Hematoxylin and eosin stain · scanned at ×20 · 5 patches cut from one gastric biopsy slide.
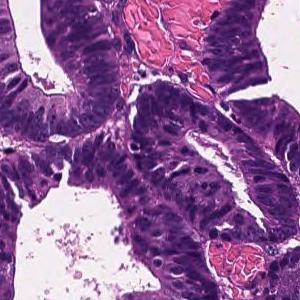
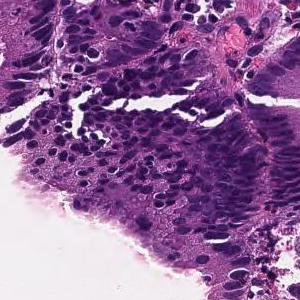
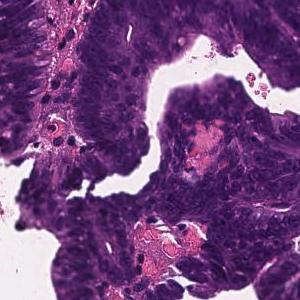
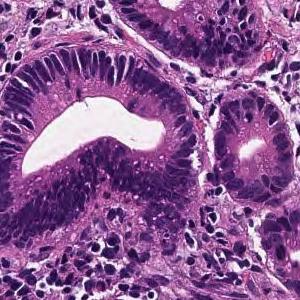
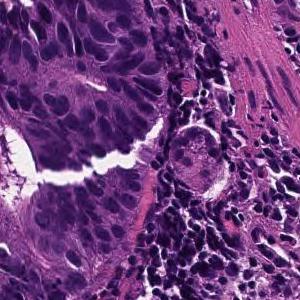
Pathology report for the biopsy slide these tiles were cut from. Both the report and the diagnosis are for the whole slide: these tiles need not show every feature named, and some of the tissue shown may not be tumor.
Tumor tissue consisting of large papillary structures is found in the superficial epithelium. Papillary adenocarcinoma.
